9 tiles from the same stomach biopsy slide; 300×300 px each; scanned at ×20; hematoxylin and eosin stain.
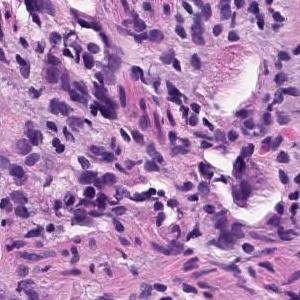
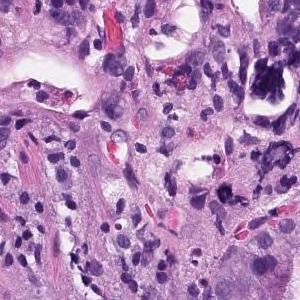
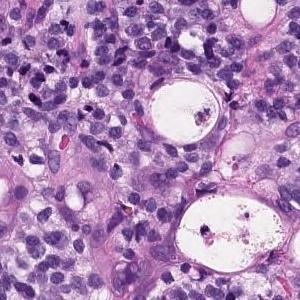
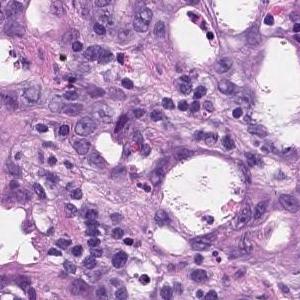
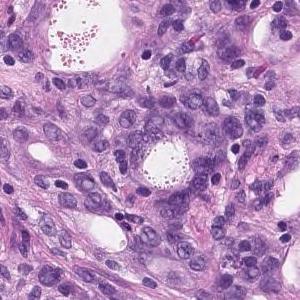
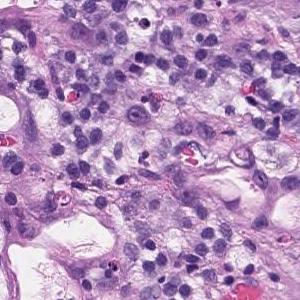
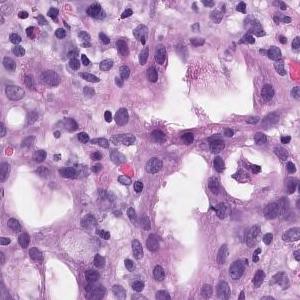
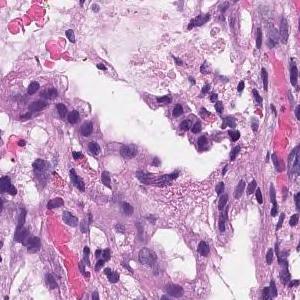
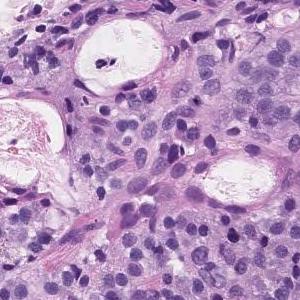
The pathologist's report on the biopsy slide these tiles were taken from. The findings and the diagnosis refer to the entire slide; these tiles show only part of it, possibly with non-tumor tissue, and may not show every feature named.
In the superficial epithelium, tumor tissue that invades by forming medium-sized to small, irregular ducts is observed. Moderately differentiated adenocarcinoma.
Tumor subtype: moderately differentiated tubular adenocarcinoma.
